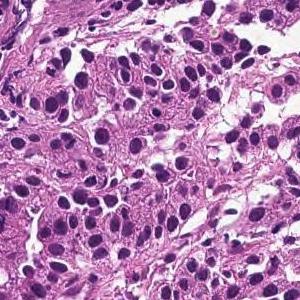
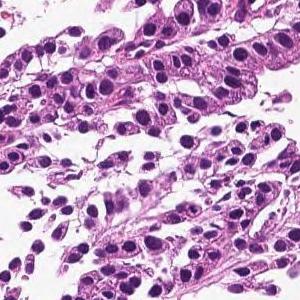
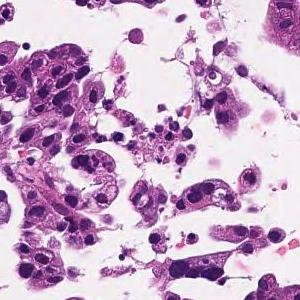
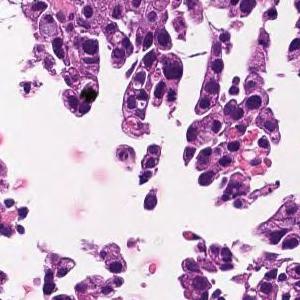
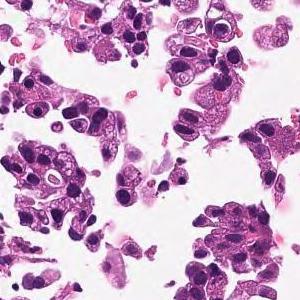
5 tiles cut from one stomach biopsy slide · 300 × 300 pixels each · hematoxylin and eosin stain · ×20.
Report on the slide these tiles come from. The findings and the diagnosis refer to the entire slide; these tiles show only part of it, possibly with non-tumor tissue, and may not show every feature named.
In the superficial epithelium, tumor tissue that invades by forming medium-sized to small, irregular ducts is observed. moderately differentiated tubular adenocarcinoma.
